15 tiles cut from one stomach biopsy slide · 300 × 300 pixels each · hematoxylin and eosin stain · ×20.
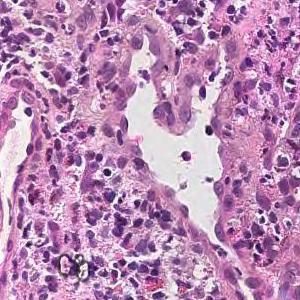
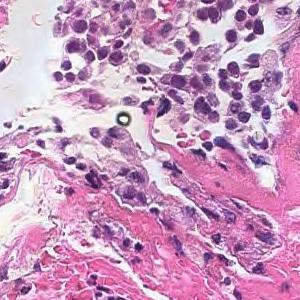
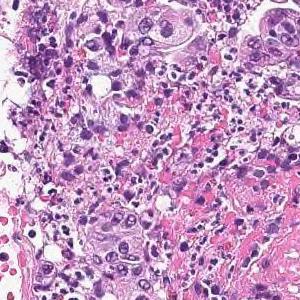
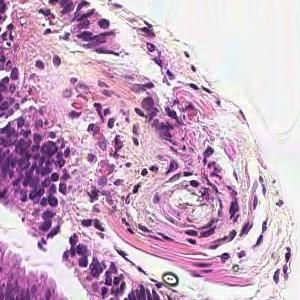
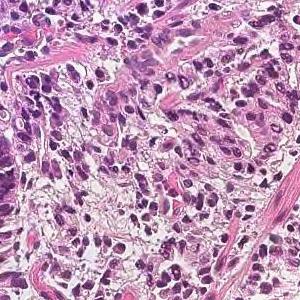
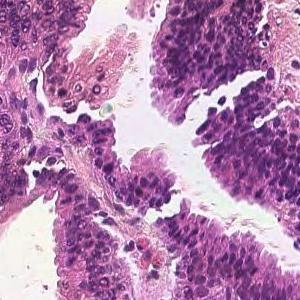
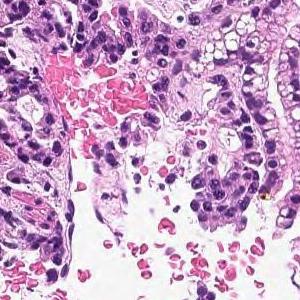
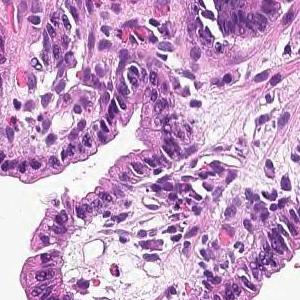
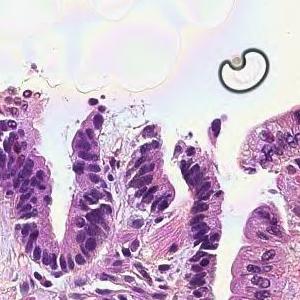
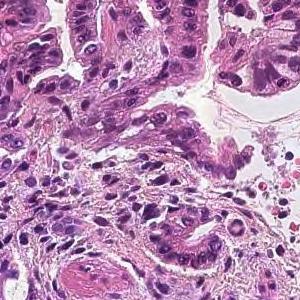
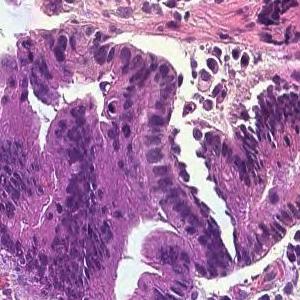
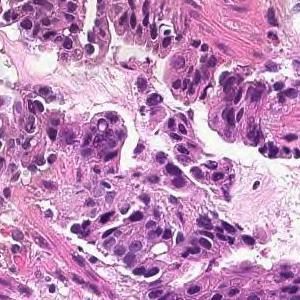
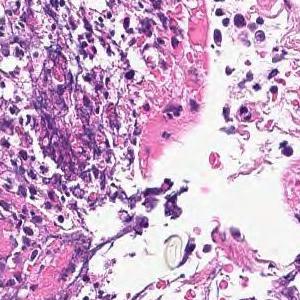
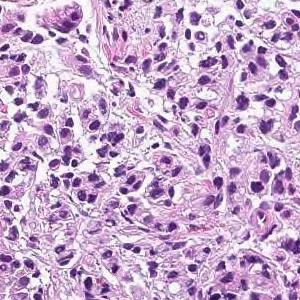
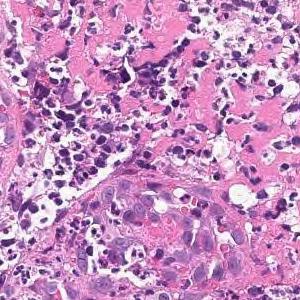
The pathologist's report on the biopsy slide these tiles were taken from. The report and the diagnosis cover the entire slide, so not every feature they name need be visible here, and some tissue shown may not be tumor.
Tumor tissue consisting of medium-sized, cord-like or irregular glandular infiltration is observed in the superficial epithelium. Poorly differentiated adenocarcinoma, non-solid type or moderately differentiated tubular adenocarcinoma
Classified as moderately to poorly differentiated adenocarcinoma.
"Non-solid type" is a category of the Japanese Classification of Gastric Carcinoma.
